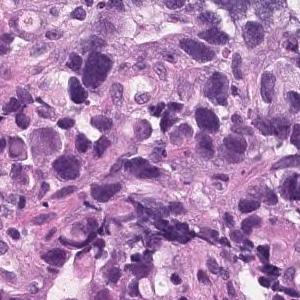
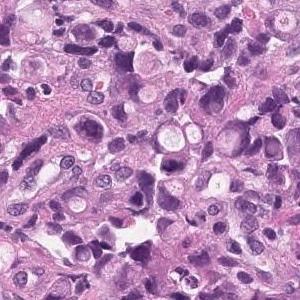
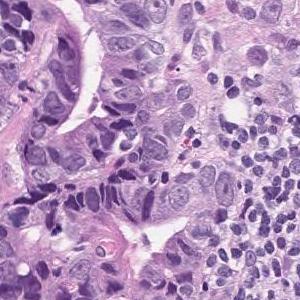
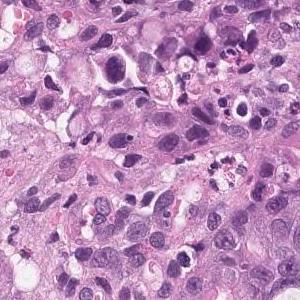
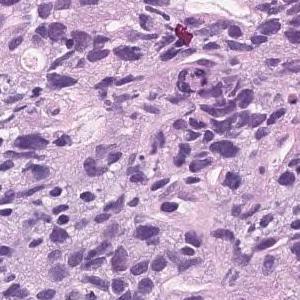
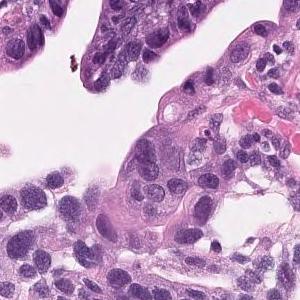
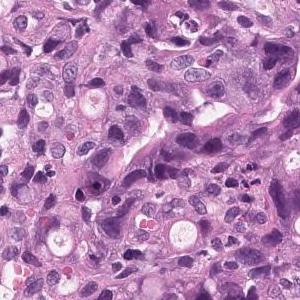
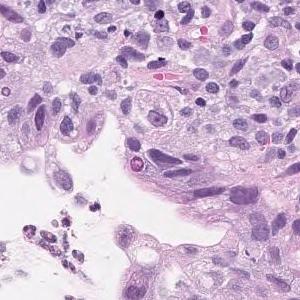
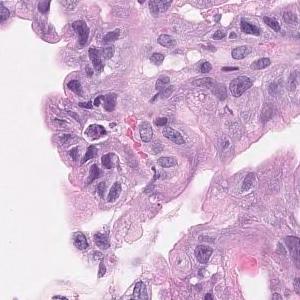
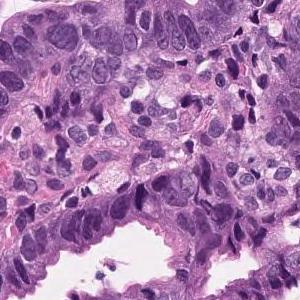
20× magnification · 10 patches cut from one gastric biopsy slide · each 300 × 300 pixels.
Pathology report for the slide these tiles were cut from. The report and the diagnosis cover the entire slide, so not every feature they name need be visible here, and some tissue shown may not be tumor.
Tumor tissue consisting of medium-sized, cord-like or irregular glandular infiltration is observed in the superficial epithelium. Poorly differentiated adenocarcinoma, non-solid type or moderately differentiated tubular adenocarcinoma
Labeled in the dataset as poorly differentiated adenocarcinoma, non-solid type.
The term "non-solid type" comes from the Japanese Classification of Gastric Carcinoma.
